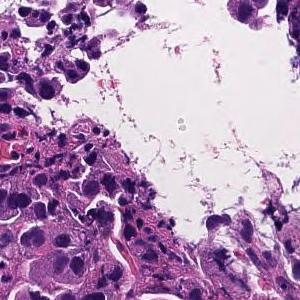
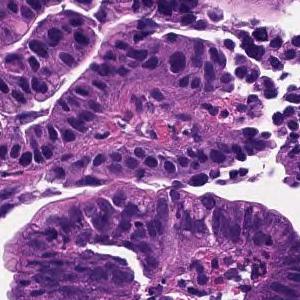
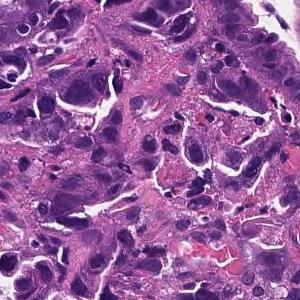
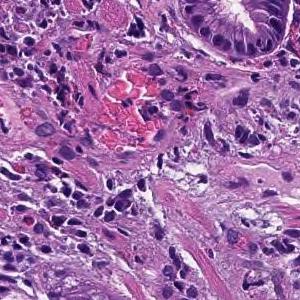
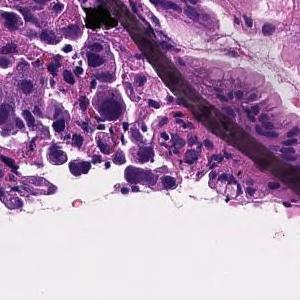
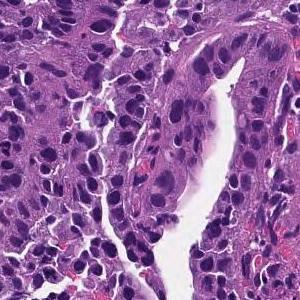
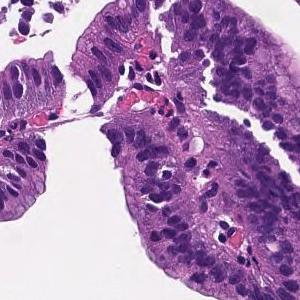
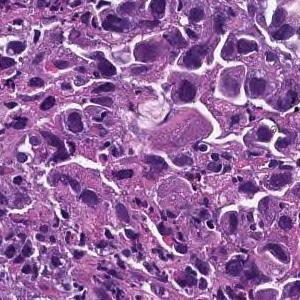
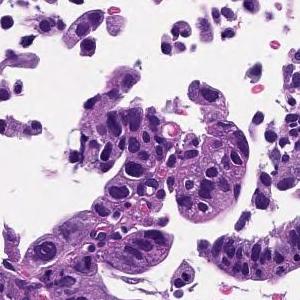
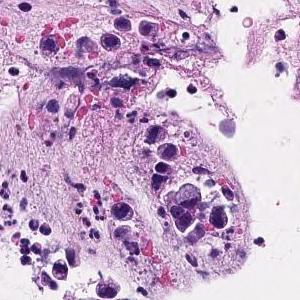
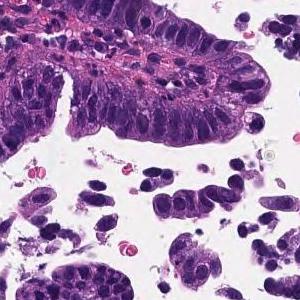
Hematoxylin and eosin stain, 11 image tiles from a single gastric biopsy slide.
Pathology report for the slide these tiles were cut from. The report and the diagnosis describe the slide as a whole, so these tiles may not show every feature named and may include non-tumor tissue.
Tumor tissue consisting of medium-sized, cord-like or irregular glandular infiltration is observed in the superficial epithelium. Poorly differentiated adenocarcinoma, non-solid type or moderately differentiated tubular adenocarcinoma
Histologic type: Moderately to poorly differentiated adenocarcinoma.
The term "non-solid type" comes from the Japanese Classification of Gastric Carcinoma.
